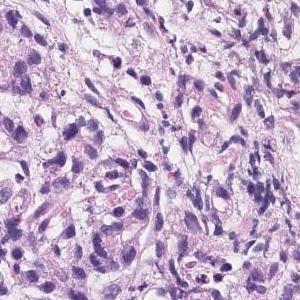
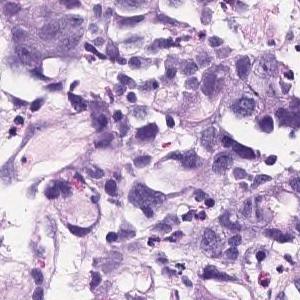
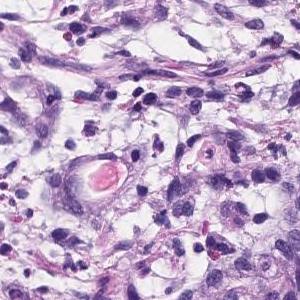
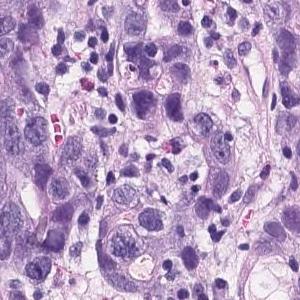
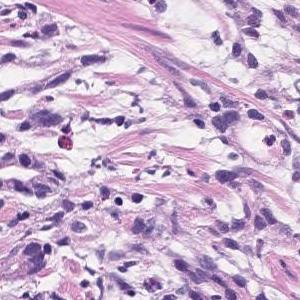
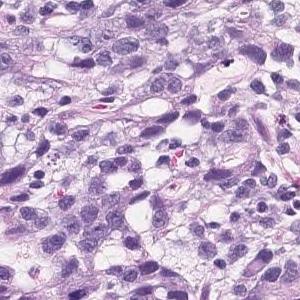
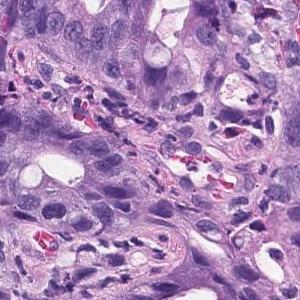
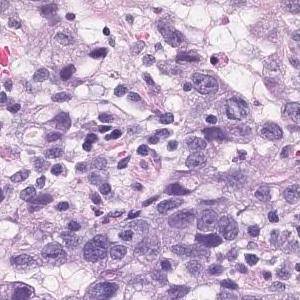
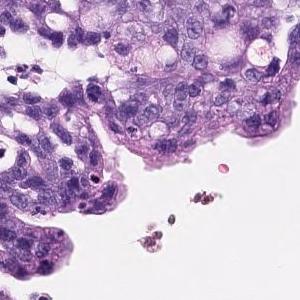
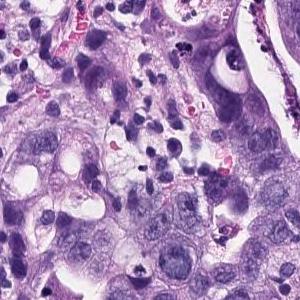
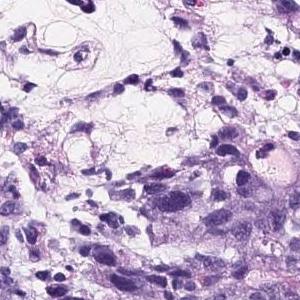
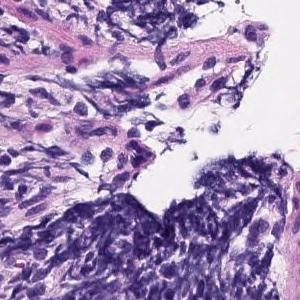
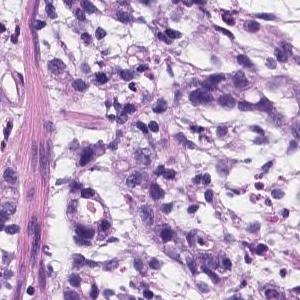
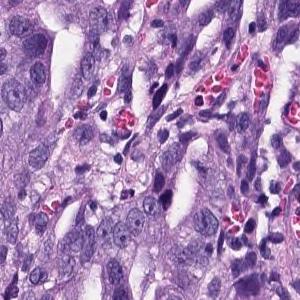
Scanned at ×20; 14 tiles cut from one stomach biopsy slide; each 300 × 300 pixels.
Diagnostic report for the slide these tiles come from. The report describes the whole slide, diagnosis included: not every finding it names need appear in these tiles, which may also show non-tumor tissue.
There are atypical l cells with atypical nuclei forming cord-like or irregular atypical ducts from solidity and proliferating in a comprehensive manner. Poorly differentiated adenocarcinoma, Moderately differentiated adenocarcinoma (poorly differentiated adenocarcinoma, solid type moderately differentiated tubular adenocarcinoma)
Histologic type: Moderately to poorly differentiated adenocarcinoma.
The solid type named here is a Japanese Classification of Gastric Carcinoma category; WHO 2019 calls it tubular adenocarcinoma, poorly differentiated.
